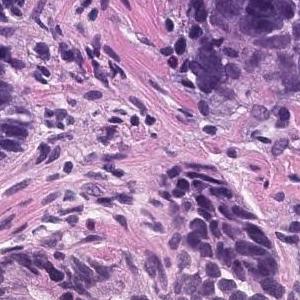
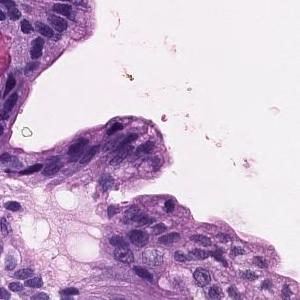
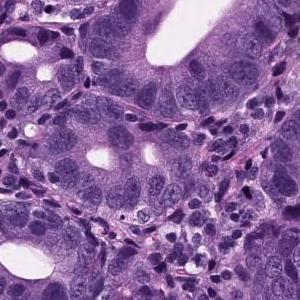
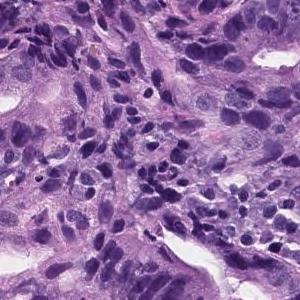
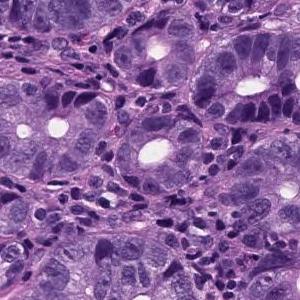
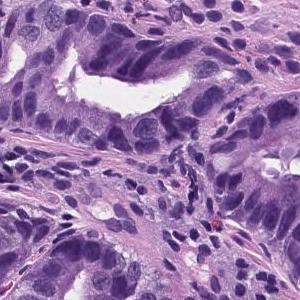
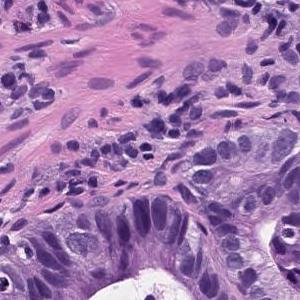
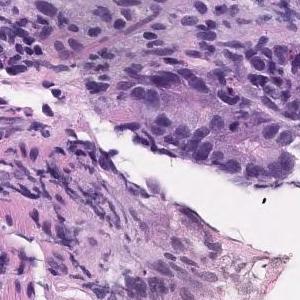
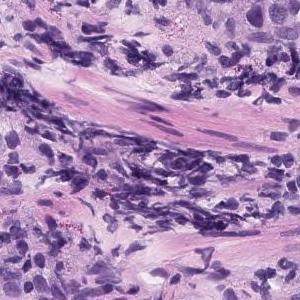
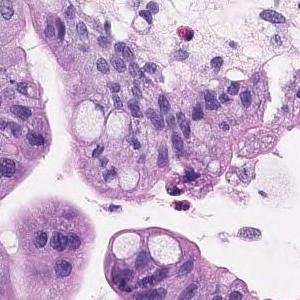
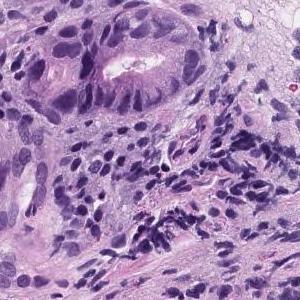
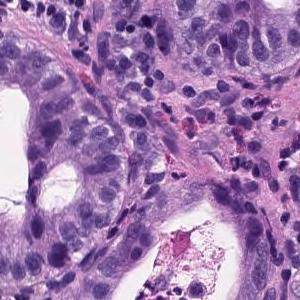
×20 · 12 tiles cut from one stomach biopsy slide · 300×300 px each.
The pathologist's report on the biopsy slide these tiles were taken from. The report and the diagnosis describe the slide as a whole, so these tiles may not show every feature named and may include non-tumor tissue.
Tumor tissue consisting of medium-sized and irregular ducts is observed infiltrating in the superficial epithelium. Tumor cells are highly columnar, with nuclei aligned basolaterally and polarized. Well differentiated tubular adenocarcinoma.
